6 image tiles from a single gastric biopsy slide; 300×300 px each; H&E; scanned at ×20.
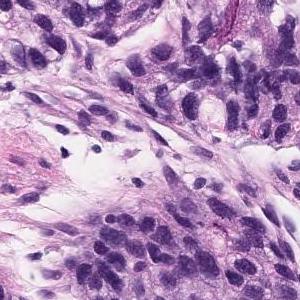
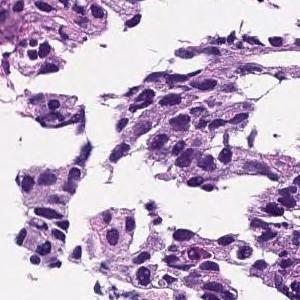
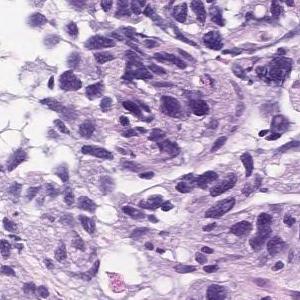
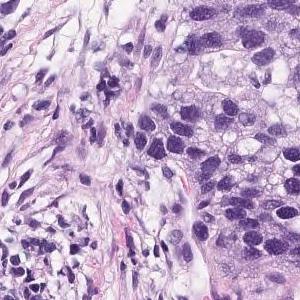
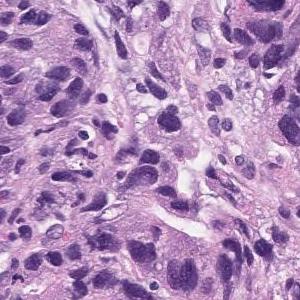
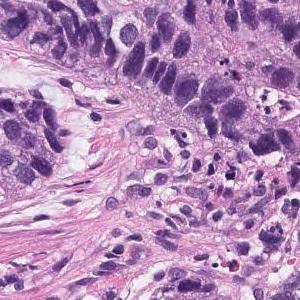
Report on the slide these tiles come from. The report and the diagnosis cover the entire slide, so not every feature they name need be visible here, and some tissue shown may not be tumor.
Medium to small, irregular glandular ducts are formed in the superficial epithelium, and in some cases, the glandular ducts are fused to show solid alveolar lesions and infiltrating tumor tissue is observed. Moderately to poorly differentiated adenocarcinoma.
